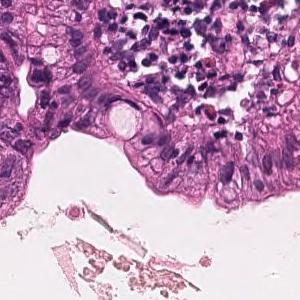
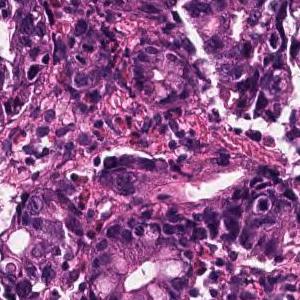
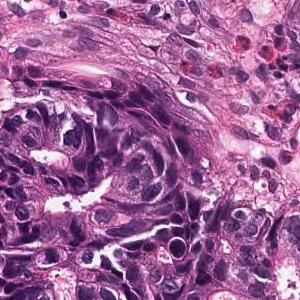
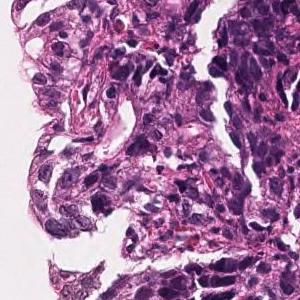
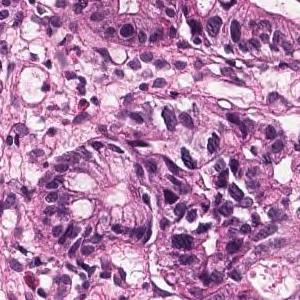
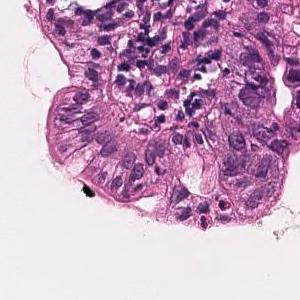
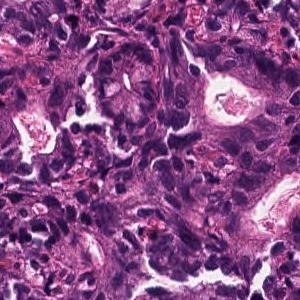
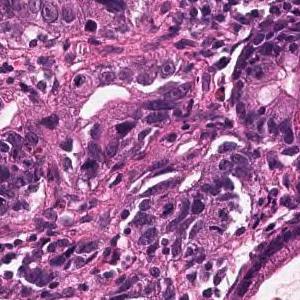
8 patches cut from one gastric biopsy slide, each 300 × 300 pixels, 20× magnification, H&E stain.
Pathology report for the slide these tiles were cut from. The report describes the whole slide, diagnosis included: not every finding it names need appear in these tiles, which may also show non-tumor tissue.
On the superficial epithelium, tumor tissue consisting of large, irregular glandular ducts partially fused and infiltrated is observed. Well to moderately differentiated tubular adenocarcinoma (well differentiated tubular adenocarcinoma, moderately differentiated tubular adenocarcinoma)
Tumor subtype: well to moderately differentiated tubular adenocarcinoma.
